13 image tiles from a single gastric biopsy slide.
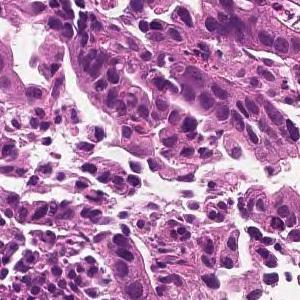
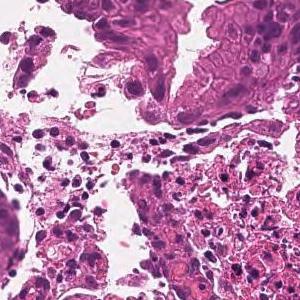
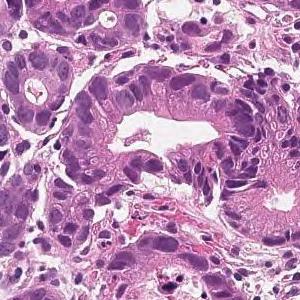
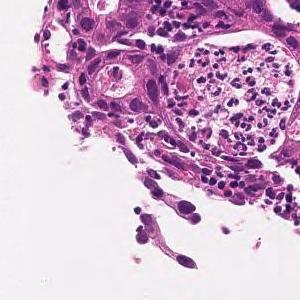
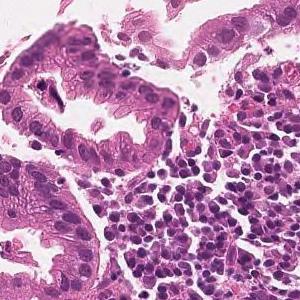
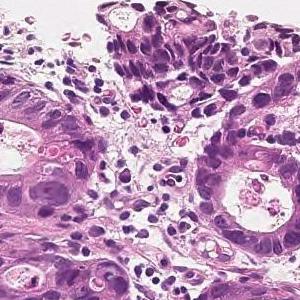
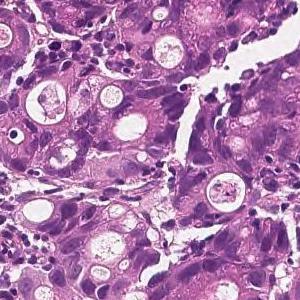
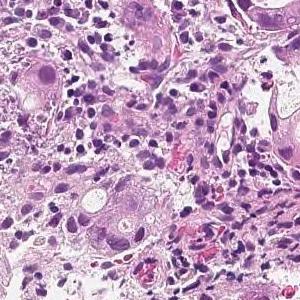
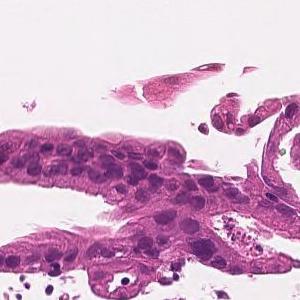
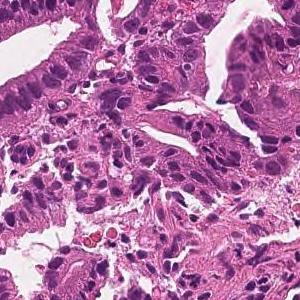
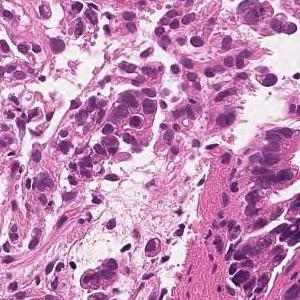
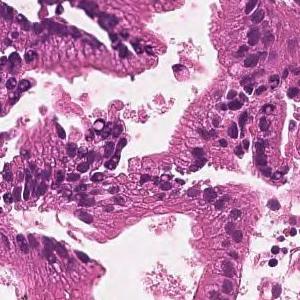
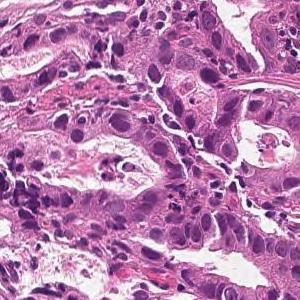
Pathology report for the biopsy slide these tiles were cut from. The findings and the diagnosis refer to the entire slide; these tiles show only part of it, possibly with non-tumor tissue, and may not show every feature named.
On the superficial epithelium, tumor tissue is found in which medium-sized irregular gland ducts fuse with each other and infiltrate. moderately differentiated tubular adenocarcinoma
